11 patches cut from one gastric biopsy slide; each 300 × 300 pixels; 20× magnification; hematoxylin and eosin stain.
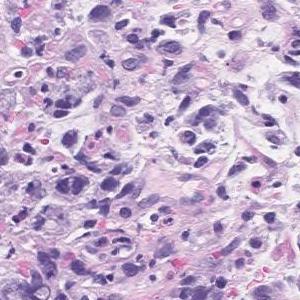
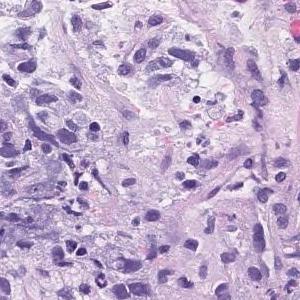
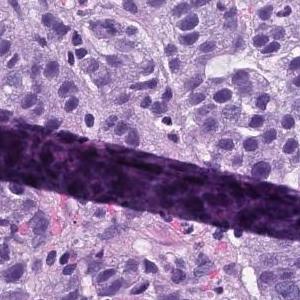
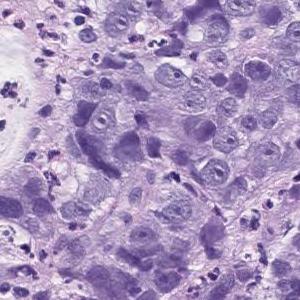
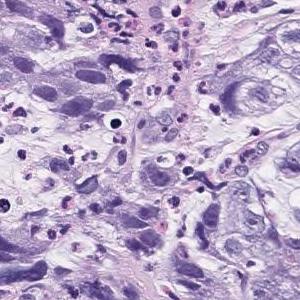
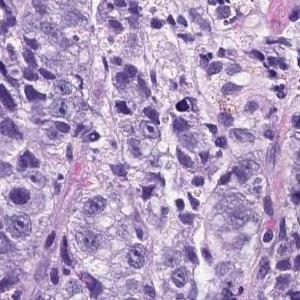
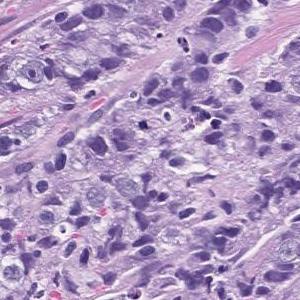
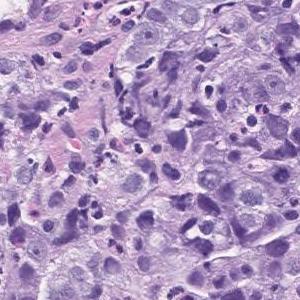
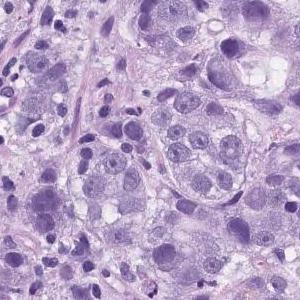
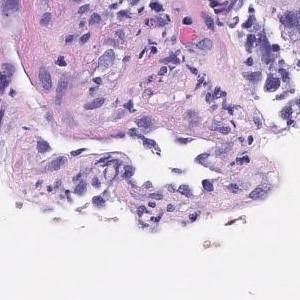
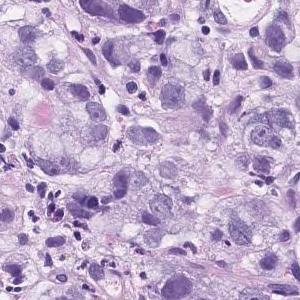
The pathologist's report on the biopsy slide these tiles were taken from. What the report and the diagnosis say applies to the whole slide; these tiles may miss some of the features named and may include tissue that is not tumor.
Atypical l cells with atypical nuclei forming solid vesicles or small irregular atypical ducts that proliferate in a complex manner. poorly differentiated adenocarcinoma, solid type, moderately differentiated tubular adenocarcinoma
The term "solid type" comes from the Japanese Classification of Gastric Carcinoma; the WHO 2019 equivalent is tubular adenocarcinoma, poorly differentiated.
